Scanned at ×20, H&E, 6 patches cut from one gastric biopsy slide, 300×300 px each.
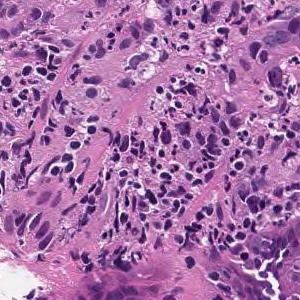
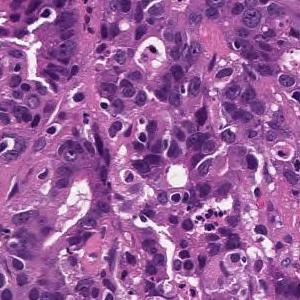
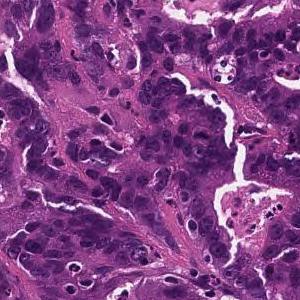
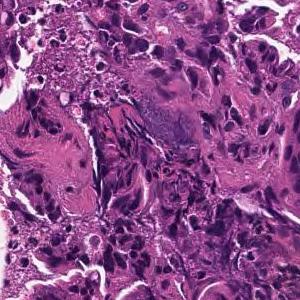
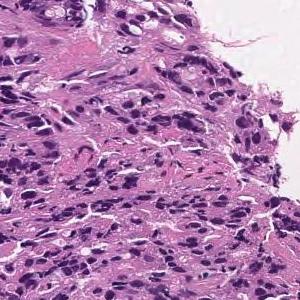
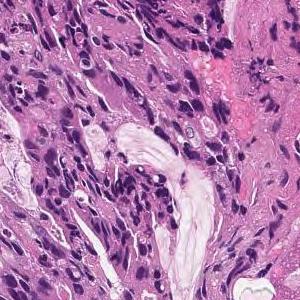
Pathology report for the biopsy slide these tiles were cut from. The report and the diagnosis cover the entire slide, so not every feature they name need be visible here, and some tissue shown may not be tumor.
In the superficial epithelium, tumor tissue that invades by forming medium-sized to small, irregular ducts is observed. moderately differentiated tubular adenocarcinoma.
